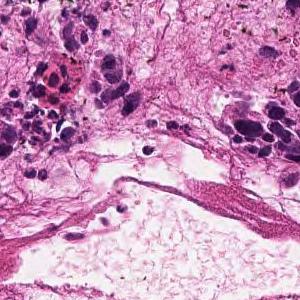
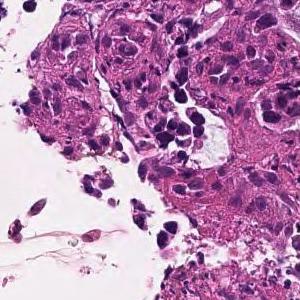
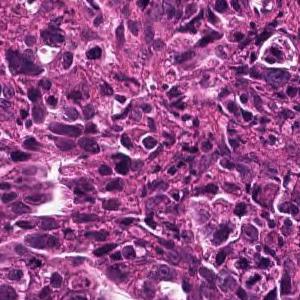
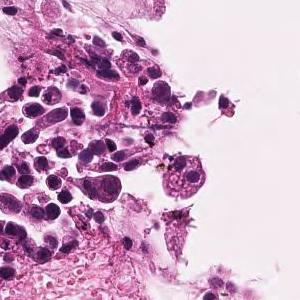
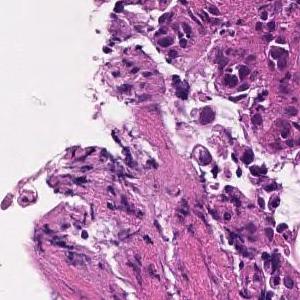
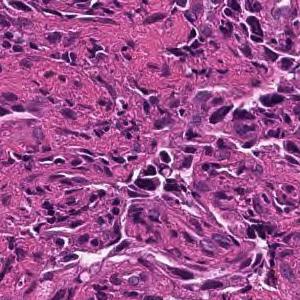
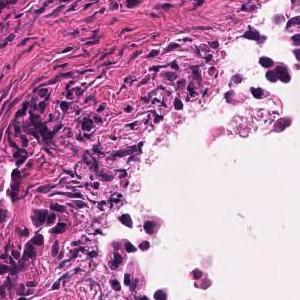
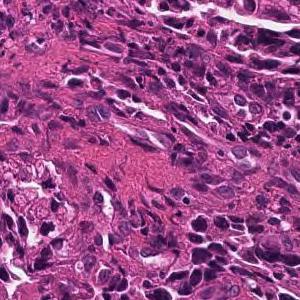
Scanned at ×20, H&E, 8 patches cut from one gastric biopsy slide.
Pathology report for the biopsy slide these tiles were cut from. What the report and the diagnosis say applies to the whole slide; these tiles may miss some of the features named and may include tissue that is not tumor.
In the superficial epithelium, tumor tissue that invades by forming medium-sized to small, irregular ducts is observed. moderately differentiated tubular adenocarcinoma.
